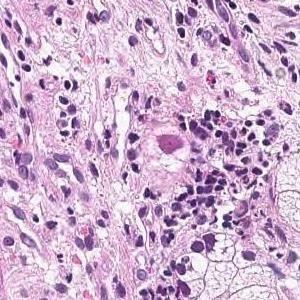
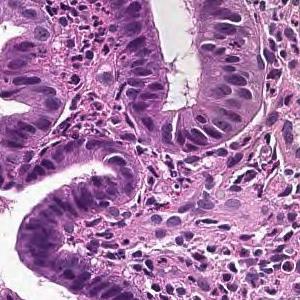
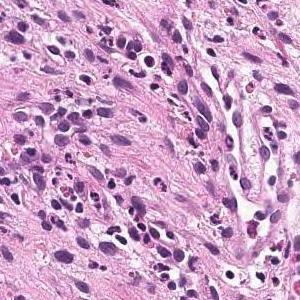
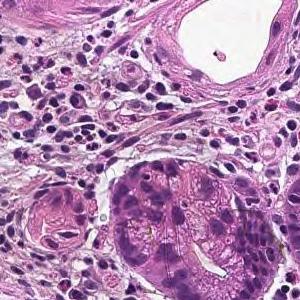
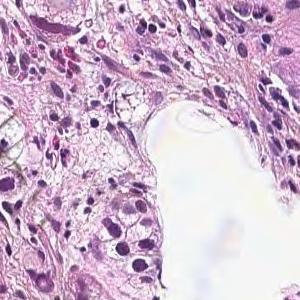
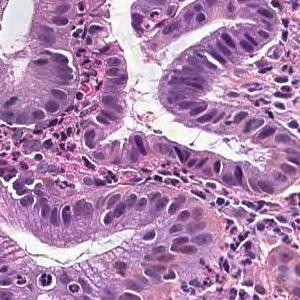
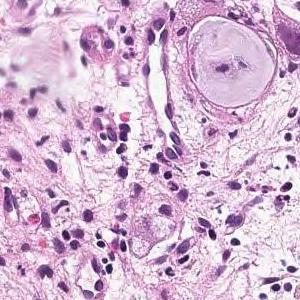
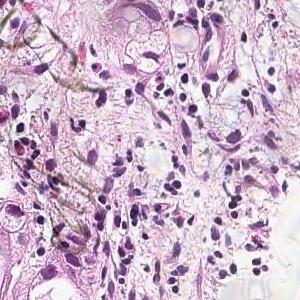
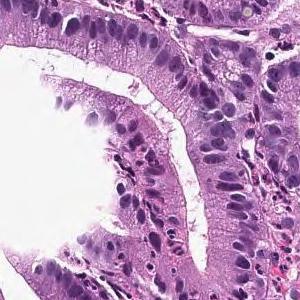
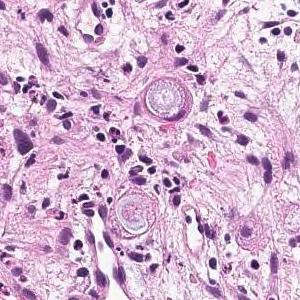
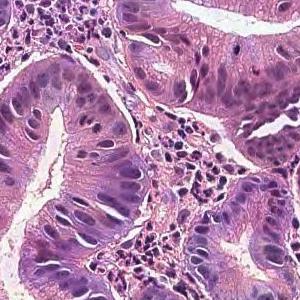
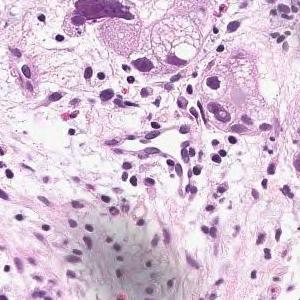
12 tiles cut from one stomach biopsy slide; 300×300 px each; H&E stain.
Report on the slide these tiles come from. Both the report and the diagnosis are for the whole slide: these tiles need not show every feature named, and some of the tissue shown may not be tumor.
On the superficial epithelium, tumor tissue that infiltrates by forming medium-sized papillary or small irregular ducts is observed. Papillary adenocarcinoma
